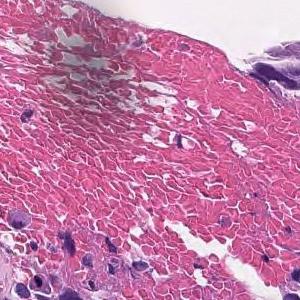
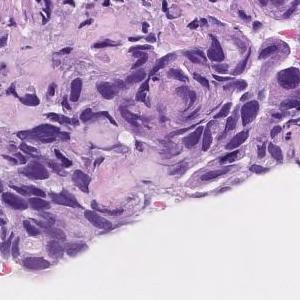
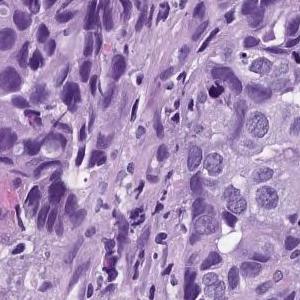
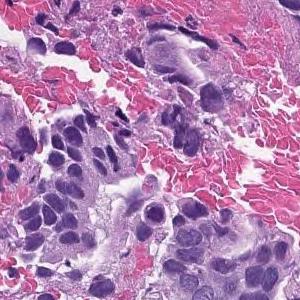
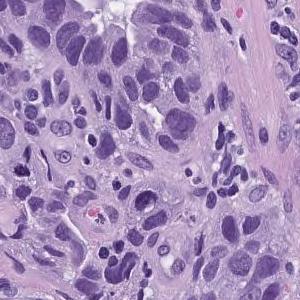
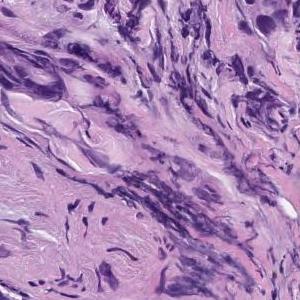
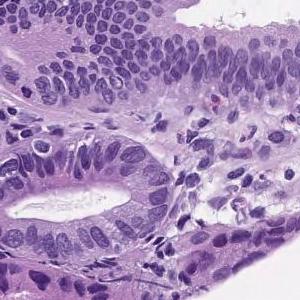
7 tiles cut from one stomach biopsy slide · each 300 × 300 pixels · 20× magnification.
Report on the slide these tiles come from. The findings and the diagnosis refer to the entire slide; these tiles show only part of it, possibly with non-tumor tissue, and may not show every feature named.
In the superficial epithelium, tumor tissue that invades by forming medium-sized to small, irregular ducts is observed. moderately differentiated tubular adenocarcinoma.
